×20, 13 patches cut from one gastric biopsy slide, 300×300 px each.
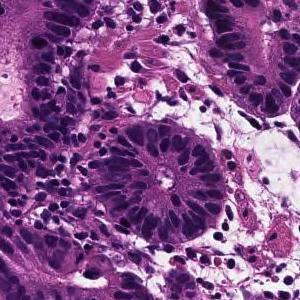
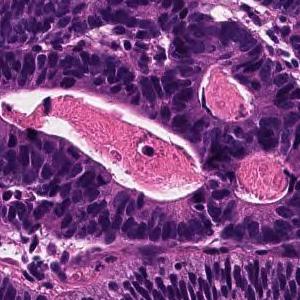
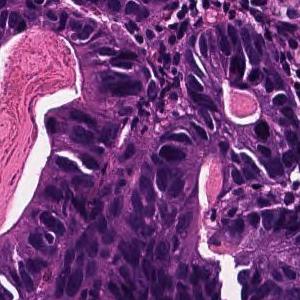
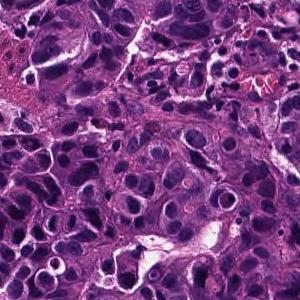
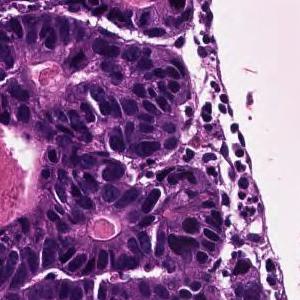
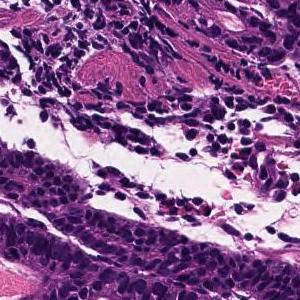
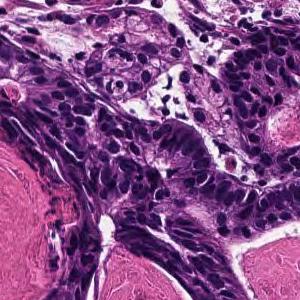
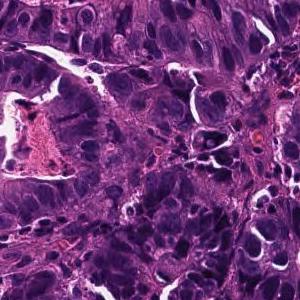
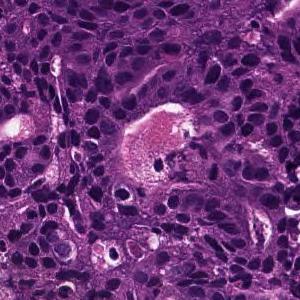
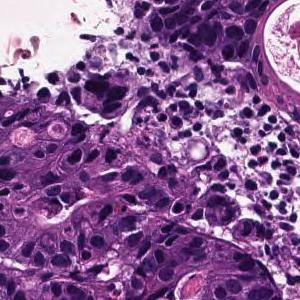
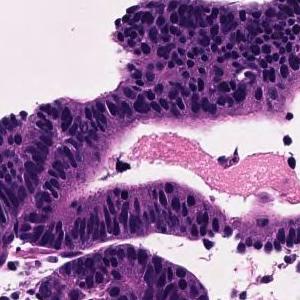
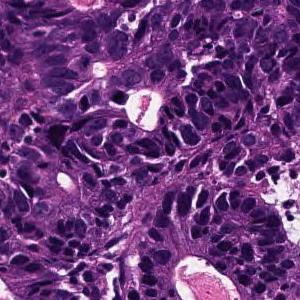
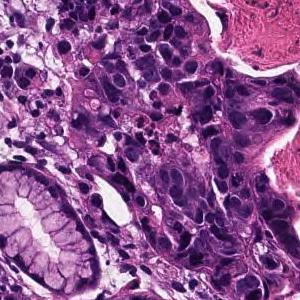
Pathology report for the biopsy slide these tiles were cut from. The report describes the whole slide, diagnosis included: not every finding it names need appear in these tiles, which may also show non-tumor tissue.
In the superficial epithelium, tumor tissue that invades by forming medium-sized to small, irregular ducts is observed. moderately differentiated tubular adenocarcinoma.
